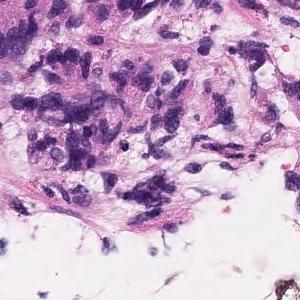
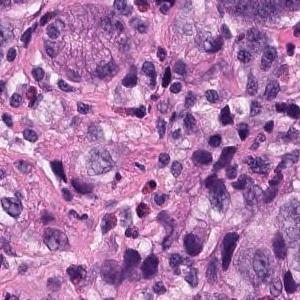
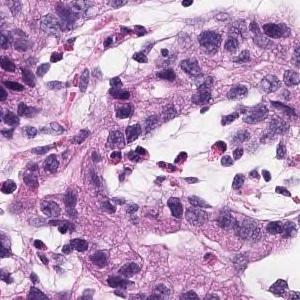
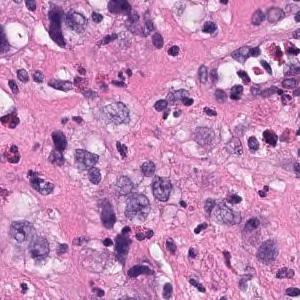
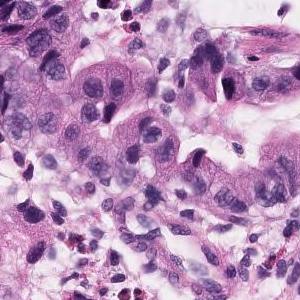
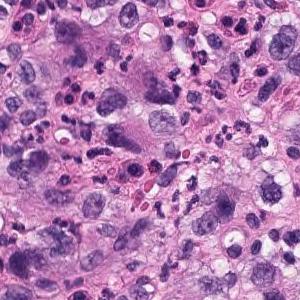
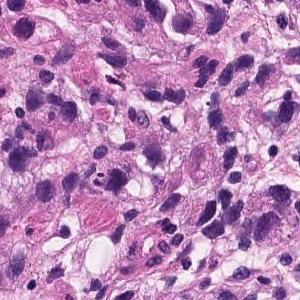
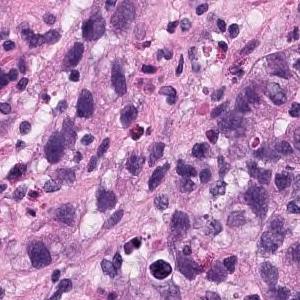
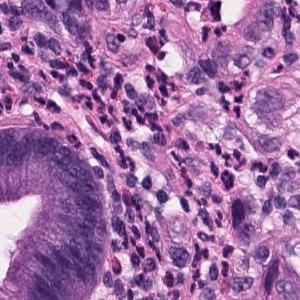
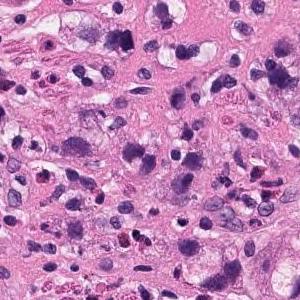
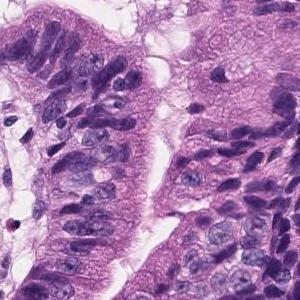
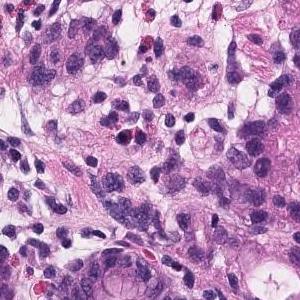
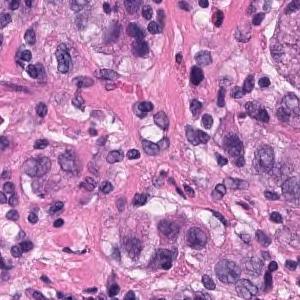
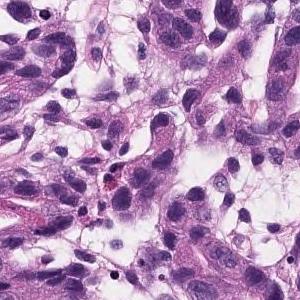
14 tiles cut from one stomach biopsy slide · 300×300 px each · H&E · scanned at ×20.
Diagnostic report for the slide these tiles come from. The report and the diagnosis cover the entire slide, so not every feature they name need be visible here, and some tissue shown may not be tumor.
Atypical l cells with atypical nuclei forming diffuse or small irregular atypical ducts and growing. Moderately to poorly differentiated adenocarcinoma (poorly differentiated adenocarcinoma, solid type, moderately differentiated tubular adenocarcinoma)
Histologic type: Moderately to poorly differentiated adenocarcinoma.
"Solid type" is a category of the Japanese Classification of Gastric Carcinoma; in the WHO 2019 classification it is tubular adenocarcinoma, poorly differentiated.
